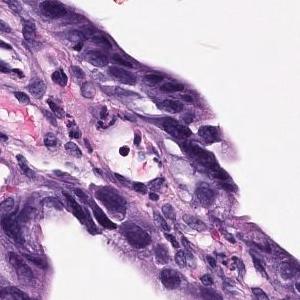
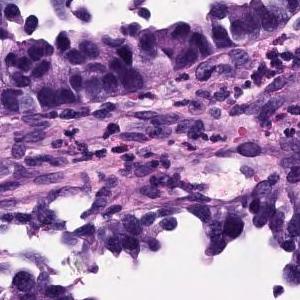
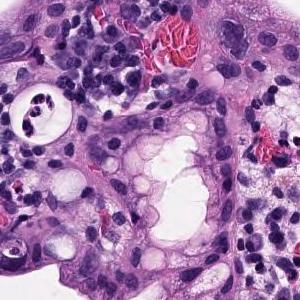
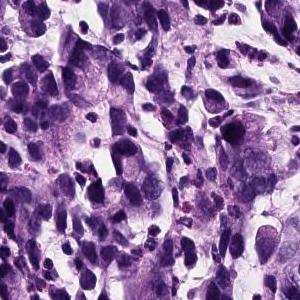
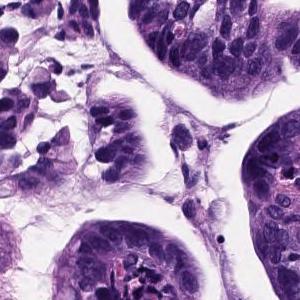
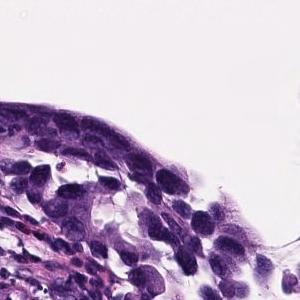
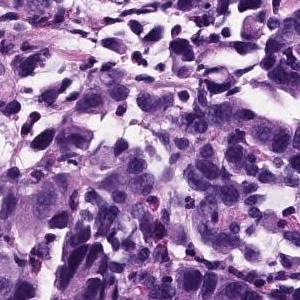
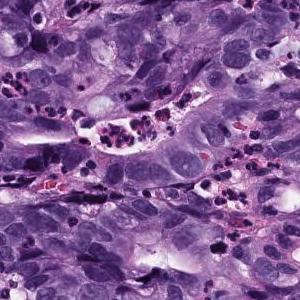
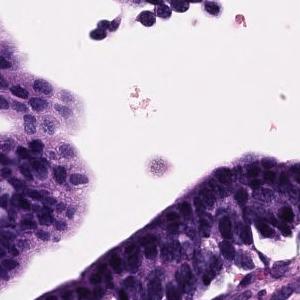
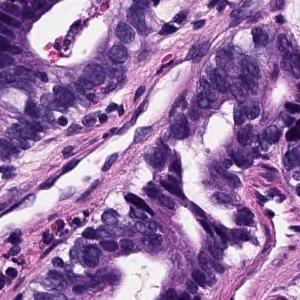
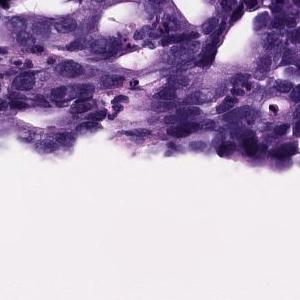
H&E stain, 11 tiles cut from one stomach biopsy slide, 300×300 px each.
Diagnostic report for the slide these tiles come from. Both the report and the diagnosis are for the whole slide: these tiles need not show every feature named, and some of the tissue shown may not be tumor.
Atypical epithelium proliferating showing villus construction and irregular gland duct construction is observed. Moderately differentiated tubular adenocarcinoma.
